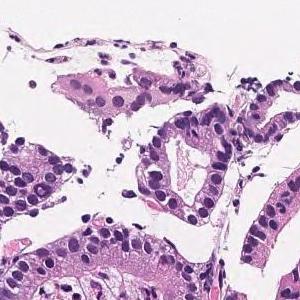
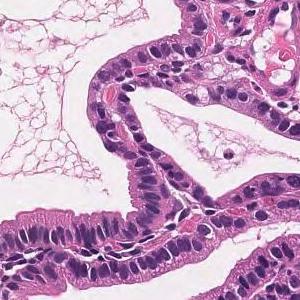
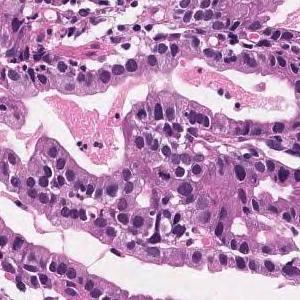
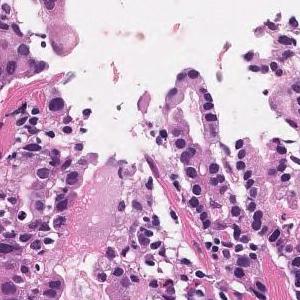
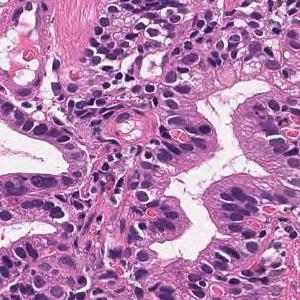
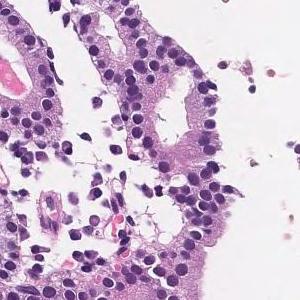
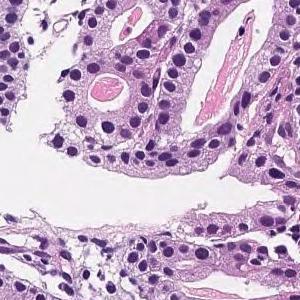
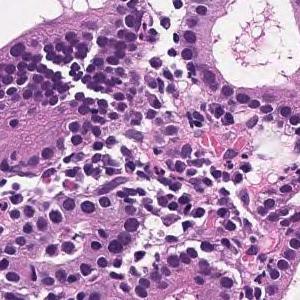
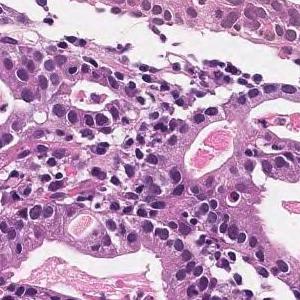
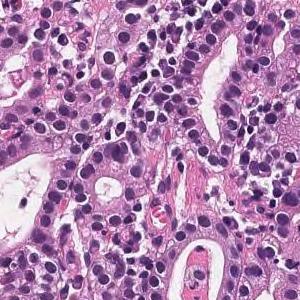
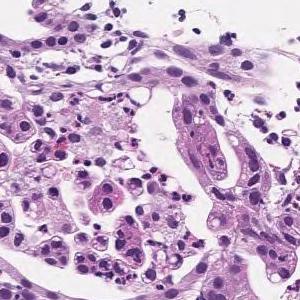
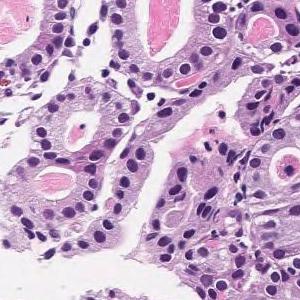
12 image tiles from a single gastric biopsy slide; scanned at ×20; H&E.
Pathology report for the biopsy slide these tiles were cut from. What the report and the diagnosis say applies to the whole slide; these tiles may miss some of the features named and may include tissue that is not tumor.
Medium to small, irregular glandular ducts are formed in the superficial epithelium, and in some cases, the glandular ducts are fused to show solid alveolar lesions and infiltrating tumor tissue is observed. Moderately to poorly differentiated adenocarcinoma.
